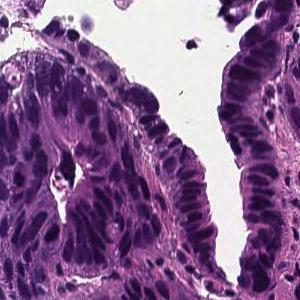
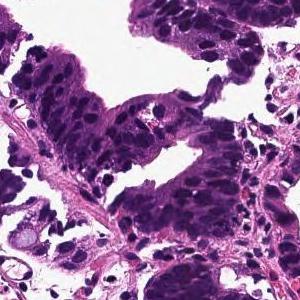
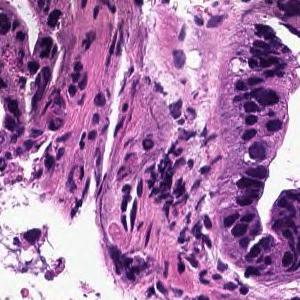
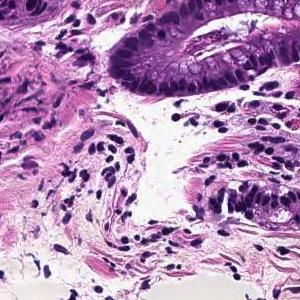
4 tiles cut from one stomach biopsy slide, 300×300 px each, H&E stain.
Pathology report for the slide these tiles were cut from. The findings and the diagnosis refer to the entire slide; these tiles show only part of it, possibly with non-tumor tissue, and may not show every feature named.
In the superficial epithelium, tumor tissue that invades by forming medium-sized to small, irregular ducts is observed. moderately differentiated tubular adenocarcinoma.
